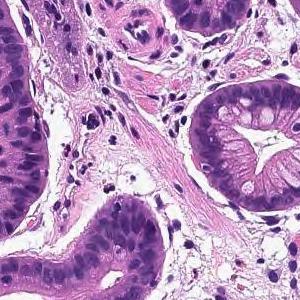
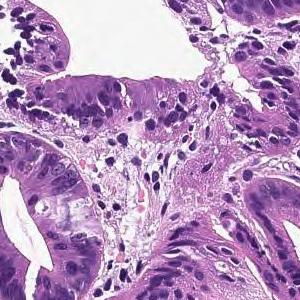
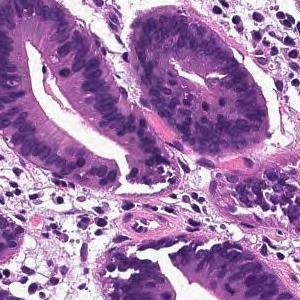
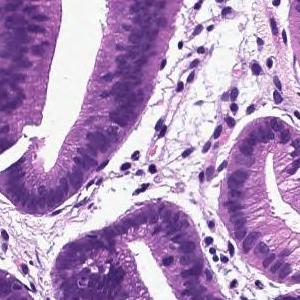
4 tiles from the same stomach biopsy slide · 300×300 px each · scanned at ×20 · H&E.
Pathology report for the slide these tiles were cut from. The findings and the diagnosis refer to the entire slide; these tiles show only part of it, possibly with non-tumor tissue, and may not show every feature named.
Infiltrating tumor tissue is observed in the superficial epithelium, showing large papillary structures or large and small ducts. Papillary adenocarcinoma
